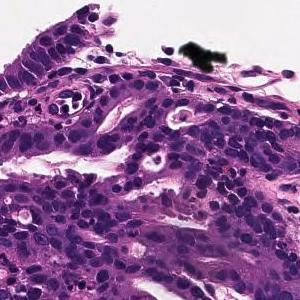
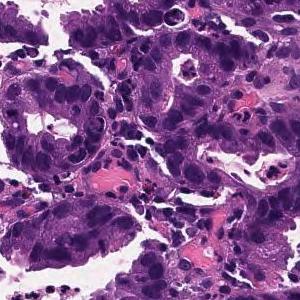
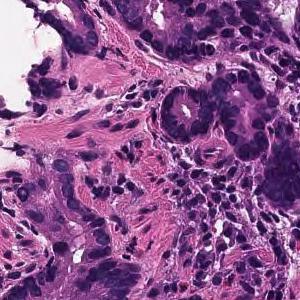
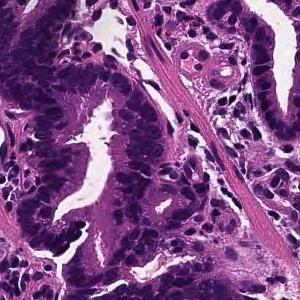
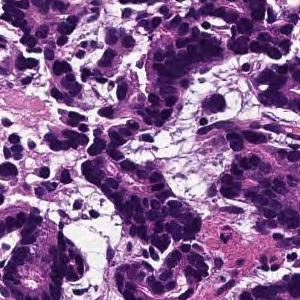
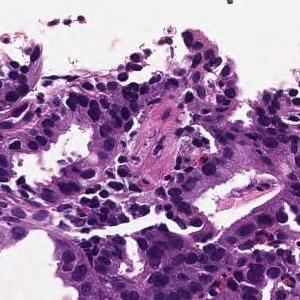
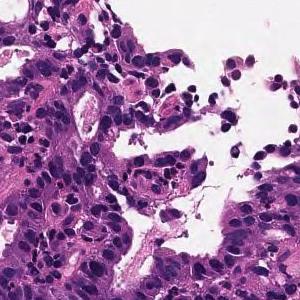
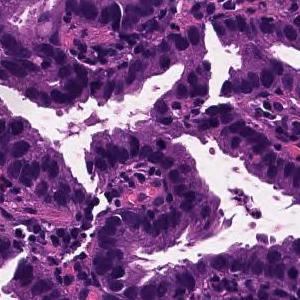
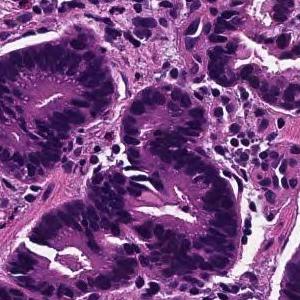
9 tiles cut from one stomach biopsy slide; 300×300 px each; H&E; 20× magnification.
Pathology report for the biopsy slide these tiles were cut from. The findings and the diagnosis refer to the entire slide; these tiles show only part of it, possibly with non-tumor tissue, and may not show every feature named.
On the superficial epithelium, tumor tissue is found in which medium-sized irregular gland ducts fuse with each other and infiltrate. moderately differentiated tubular adenocarcinoma
